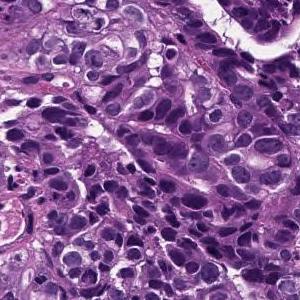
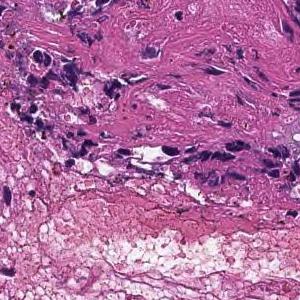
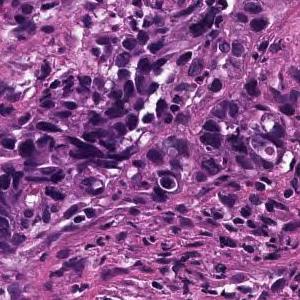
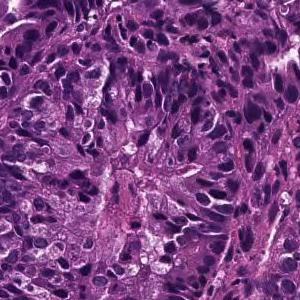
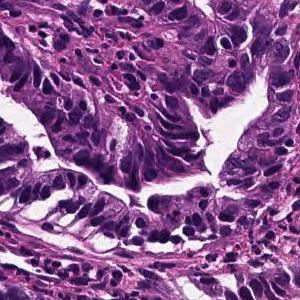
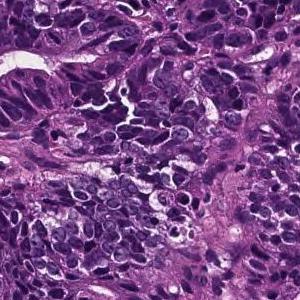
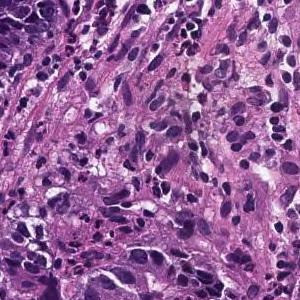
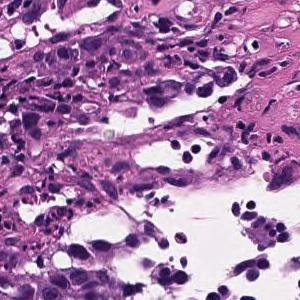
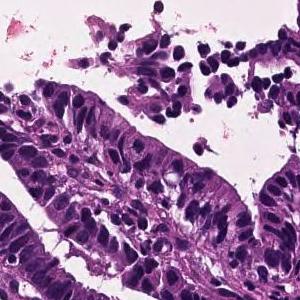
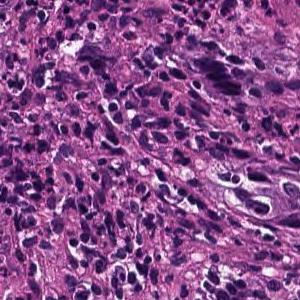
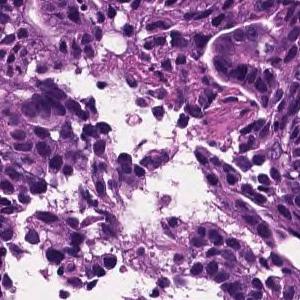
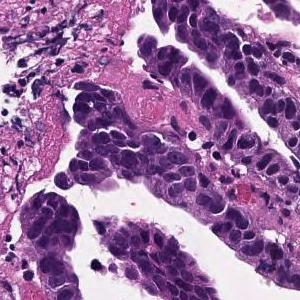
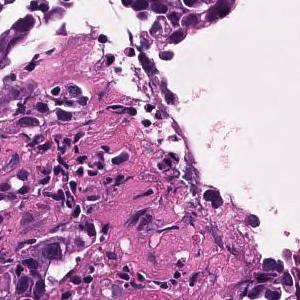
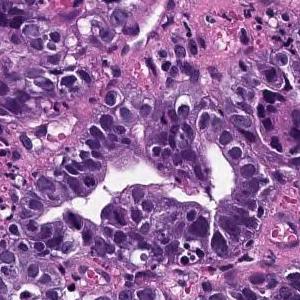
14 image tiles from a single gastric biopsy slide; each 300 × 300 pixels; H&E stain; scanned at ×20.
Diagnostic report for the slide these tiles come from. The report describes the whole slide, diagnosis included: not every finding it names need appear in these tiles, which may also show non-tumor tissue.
Tumor cells are large, highly columnar, large club-shaped nuclei, and are associated with chromatin aggregation. Papillary adenocarcinoma.
